9 patches cut from one gastric biopsy slide · hematoxylin and eosin stain · ×20.
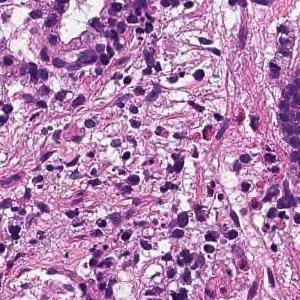
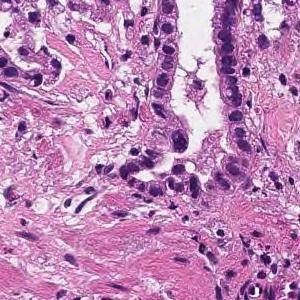
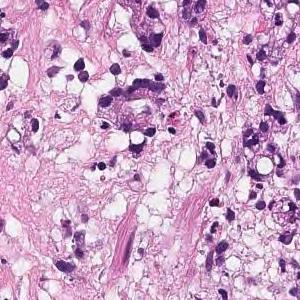
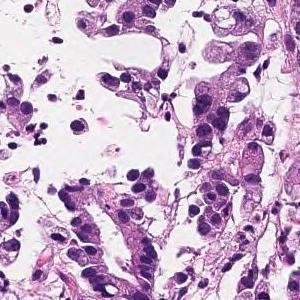
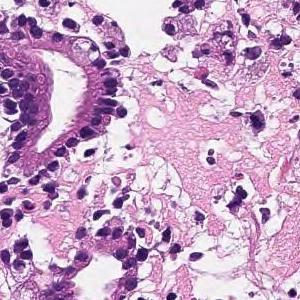
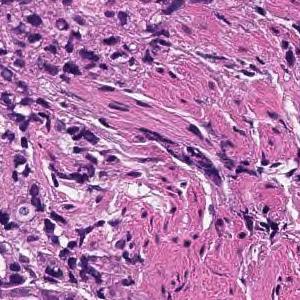
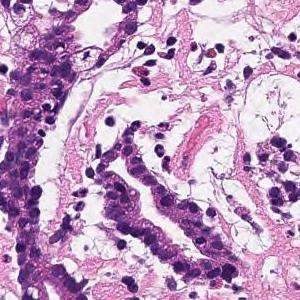
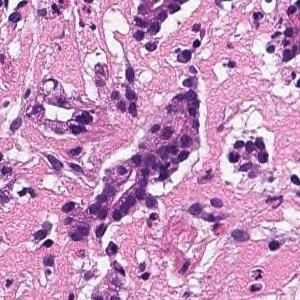
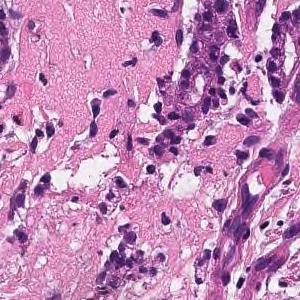
Pathology report for the biopsy slide these tiles were cut from. What the report and the diagnosis say applies to the whole slide; these tiles may miss some of the features named and may include tissue that is not tumor.
In the superficial epithelium, tumor tissue that invades by forming medium-sized to small, irregular ducts is observed. moderately differentiated tubular adenocarcinoma.
